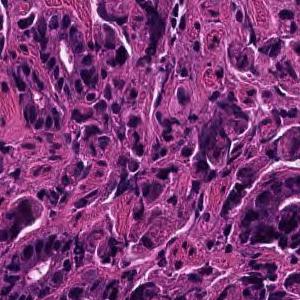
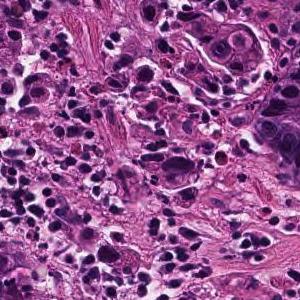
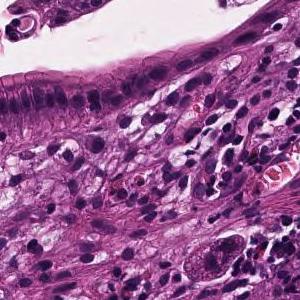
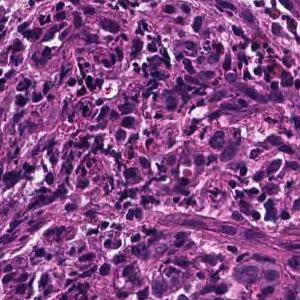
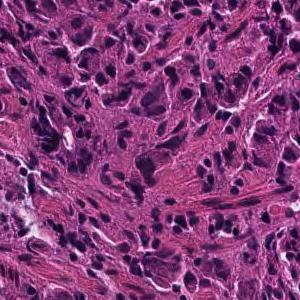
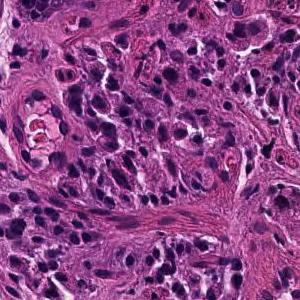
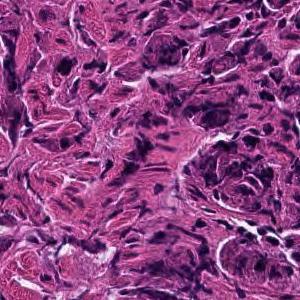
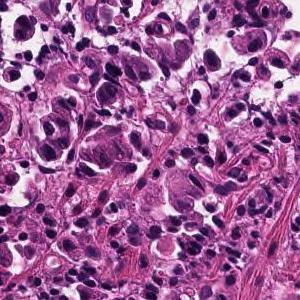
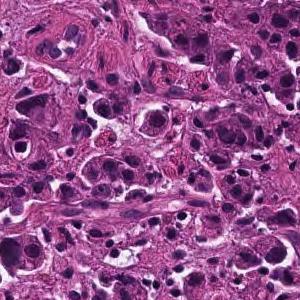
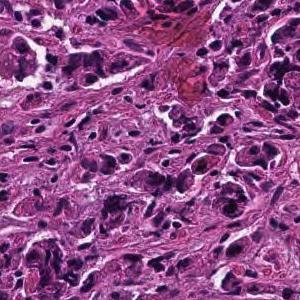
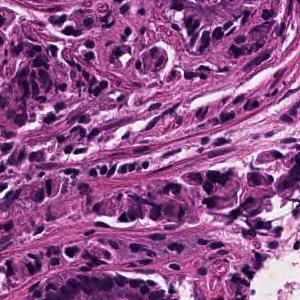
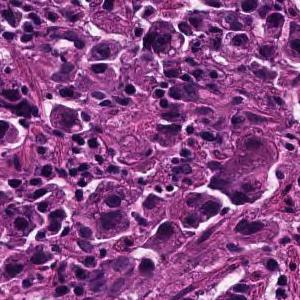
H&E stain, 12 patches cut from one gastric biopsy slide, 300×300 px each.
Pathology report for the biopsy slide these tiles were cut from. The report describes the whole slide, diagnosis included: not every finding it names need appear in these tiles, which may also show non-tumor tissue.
Tumor tissue consisting of cord-like or small, irregular glandular ducts fused and infiltrated is observed in the superficial epithelium. Poorly differentiated adenocarcinoma, non-solid type
The non-solid type named here is a Japanese Classification of Gastric Carcinoma category.
